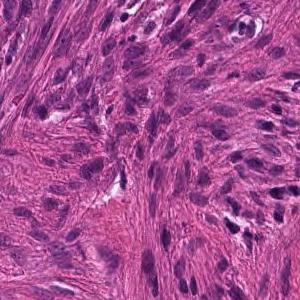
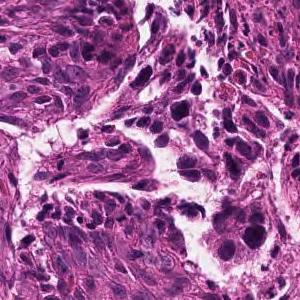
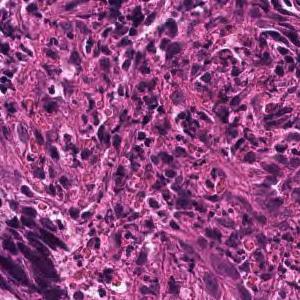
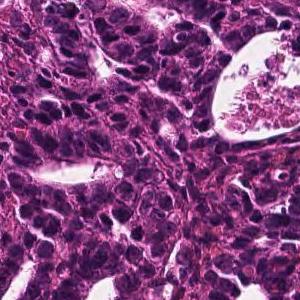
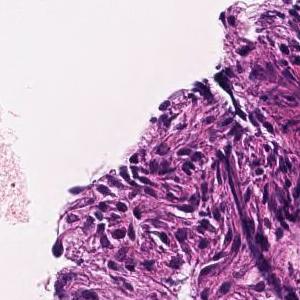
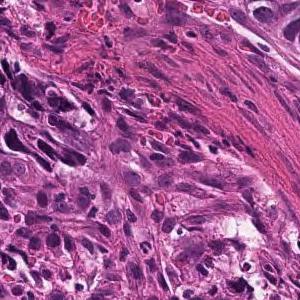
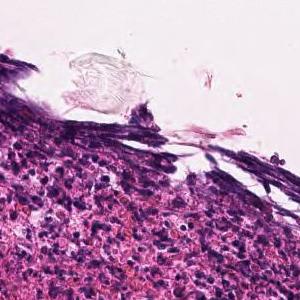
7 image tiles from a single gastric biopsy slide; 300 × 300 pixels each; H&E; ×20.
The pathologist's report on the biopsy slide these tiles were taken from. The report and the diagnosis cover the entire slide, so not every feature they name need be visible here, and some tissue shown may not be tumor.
In the superficial epithelium, tumor tissue that invades by forming medium-sized to small, irregular ducts is observed. moderately differentiated tubular adenocarcinoma.
